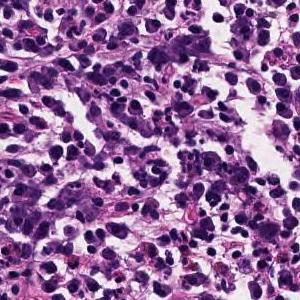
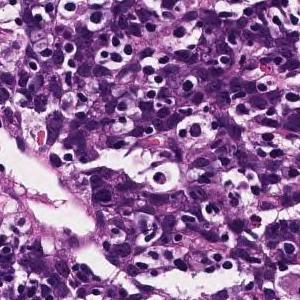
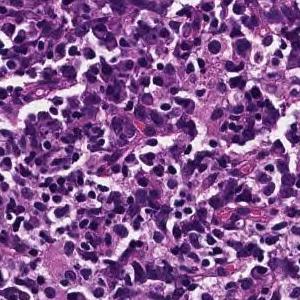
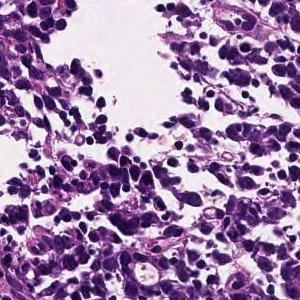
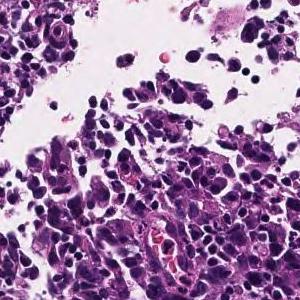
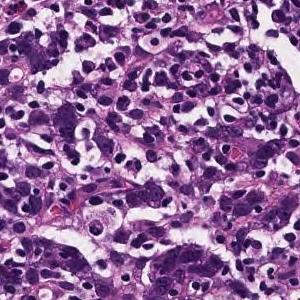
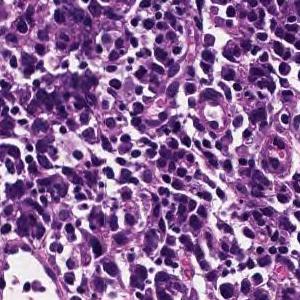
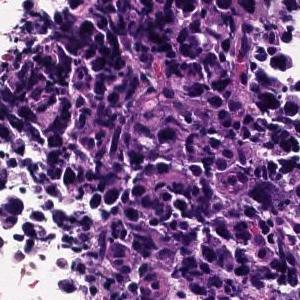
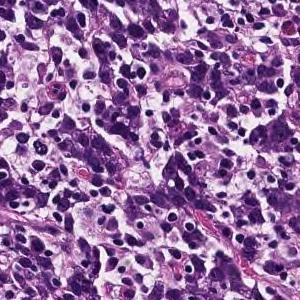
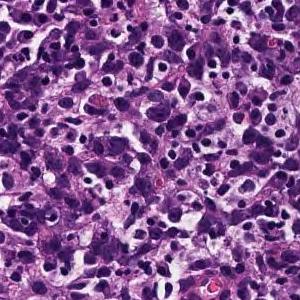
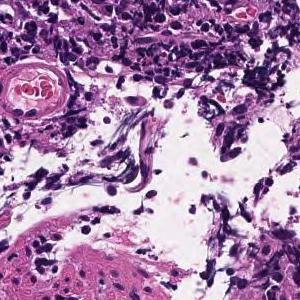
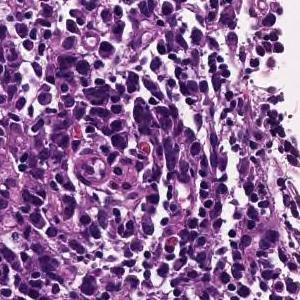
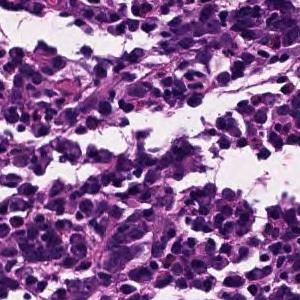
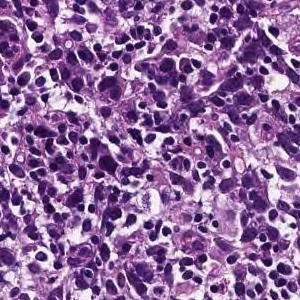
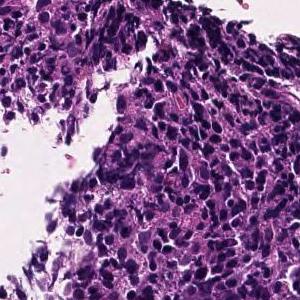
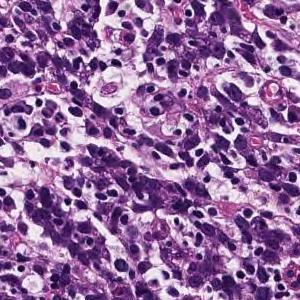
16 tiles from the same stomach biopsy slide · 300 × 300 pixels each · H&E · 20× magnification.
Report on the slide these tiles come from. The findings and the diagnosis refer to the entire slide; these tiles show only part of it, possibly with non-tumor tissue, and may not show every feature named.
Tumor tissue consisting of cord-like or small, irregular glandular ducts fused and infiltrated is observed in the superficial epithelium. Poorly differentiated adenocarcinoma, non-solid type
The term "non-solid type" comes from the Japanese Classification of Gastric Carcinoma.
